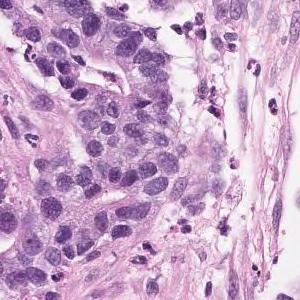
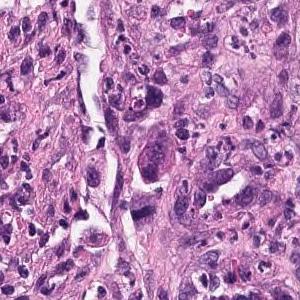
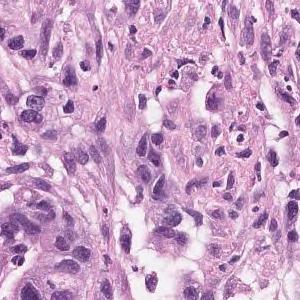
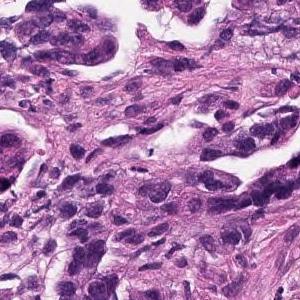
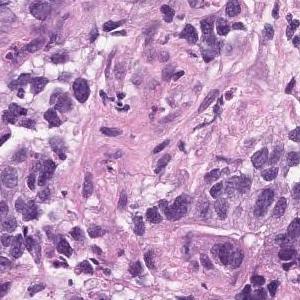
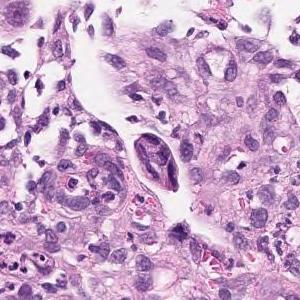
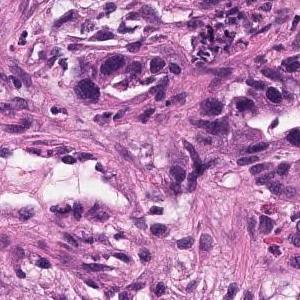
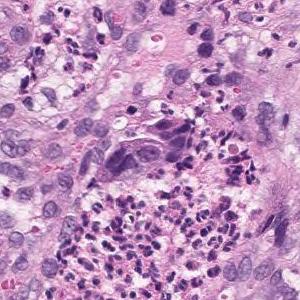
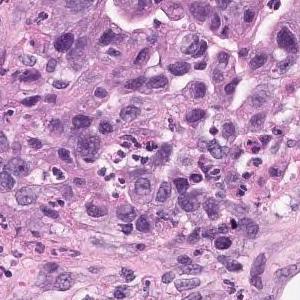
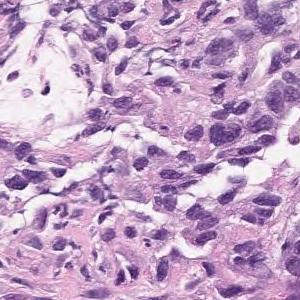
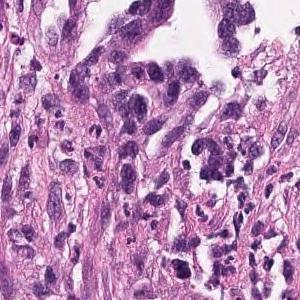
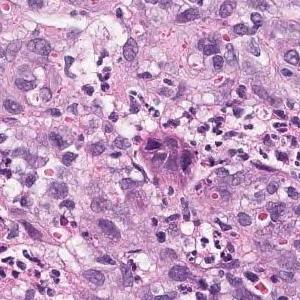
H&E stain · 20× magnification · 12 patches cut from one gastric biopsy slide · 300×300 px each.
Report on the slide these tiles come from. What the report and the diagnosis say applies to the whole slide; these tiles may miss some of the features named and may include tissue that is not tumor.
Medium to small, irregular glandular ducts are formed in the superficial epithelium, and in some cases, the glandular ducts are fused to show solid alveolar lesions and infiltrating tumor tissue is observed. Moderately to poorly differentiated adenocarcinoma.
